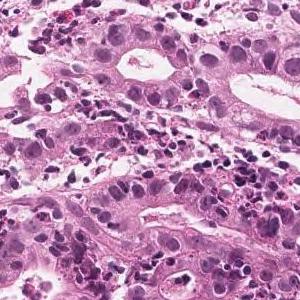
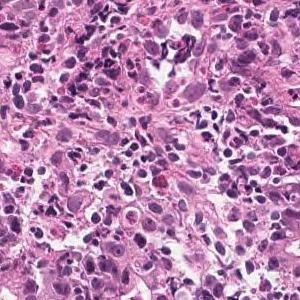
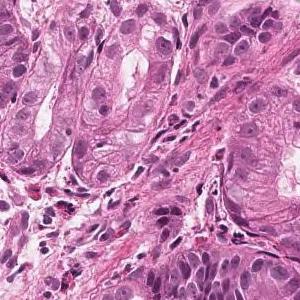
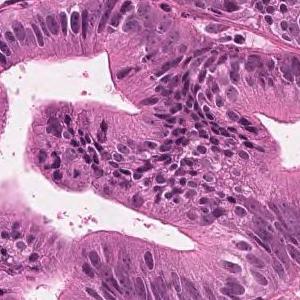
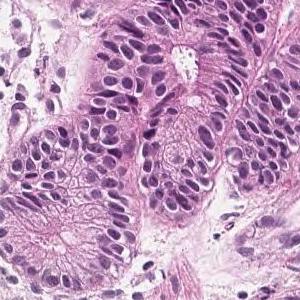
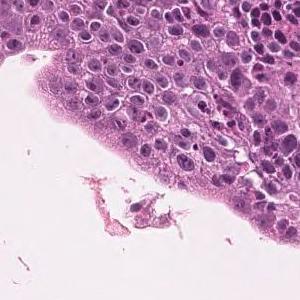
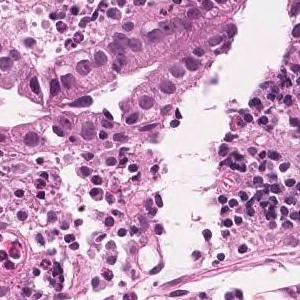
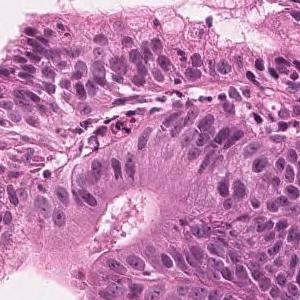
20× magnification, hematoxylin and eosin stain, 8 tiles from the same stomach biopsy slide, each 300 × 300 pixels.
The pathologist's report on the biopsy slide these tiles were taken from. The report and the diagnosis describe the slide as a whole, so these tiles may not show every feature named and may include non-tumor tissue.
On the superficial epithelium, tumor tissue consisting of large, irregular glandular ducts partially fused and infiltrated is observed. Well to moderately differentiated tubular adenocarcinoma (well differentiated tubular adenocarcinoma, moderately differentiated tubular adenocarcinoma)
Tumor subtype: well to moderately differentiated tubular adenocarcinoma.
